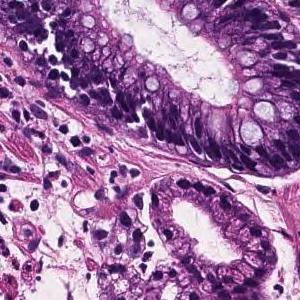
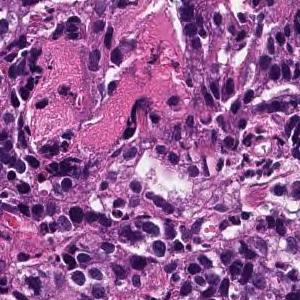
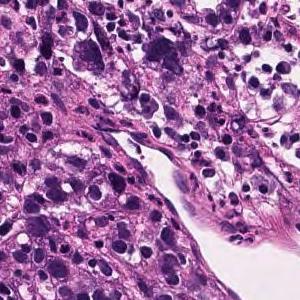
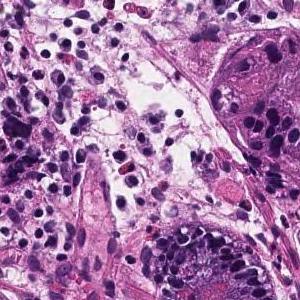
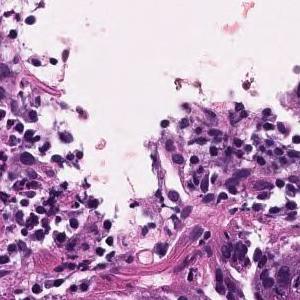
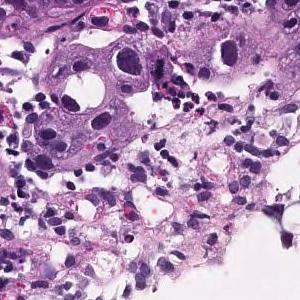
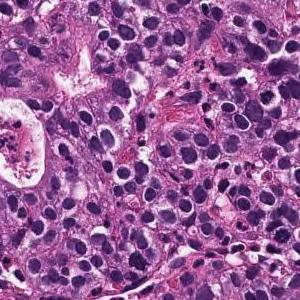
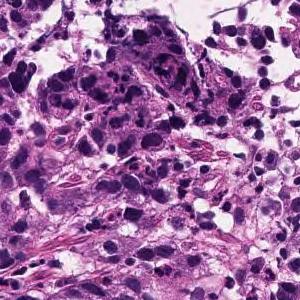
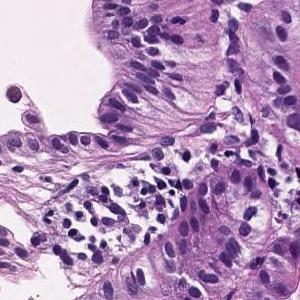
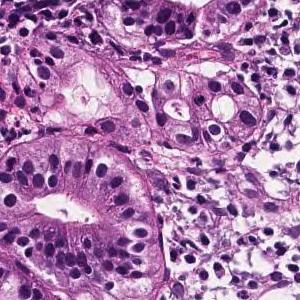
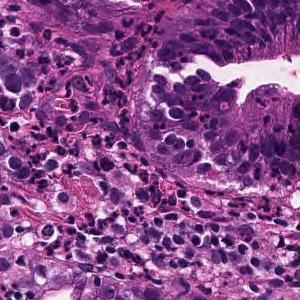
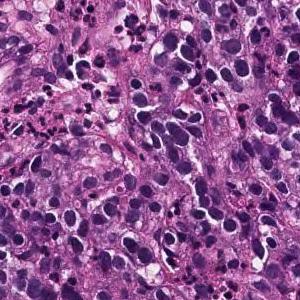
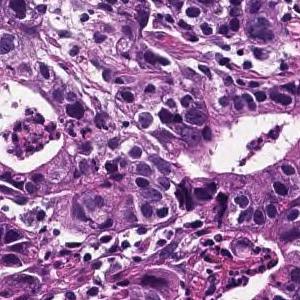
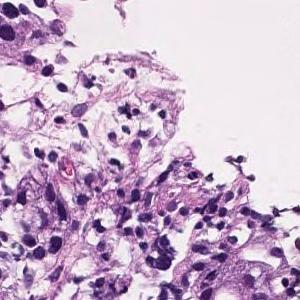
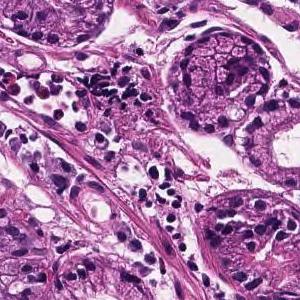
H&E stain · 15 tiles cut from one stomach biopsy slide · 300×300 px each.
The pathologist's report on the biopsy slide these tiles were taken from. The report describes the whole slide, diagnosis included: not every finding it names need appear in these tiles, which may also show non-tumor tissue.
In the superficial epithelium, tumor tissue that invades by forming medium-sized to small, irregular ducts is observed. moderately differentiated tubular adenocarcinoma.
